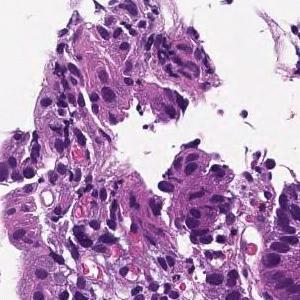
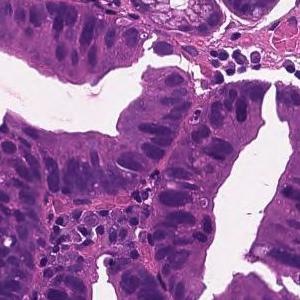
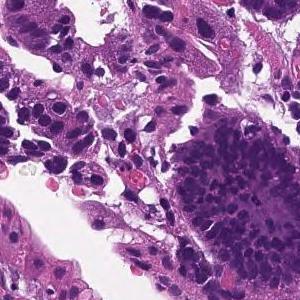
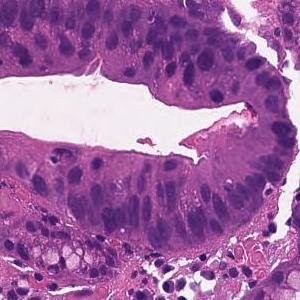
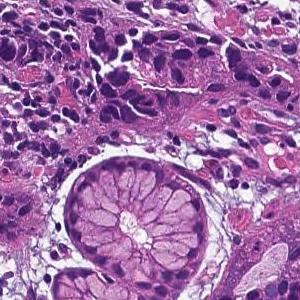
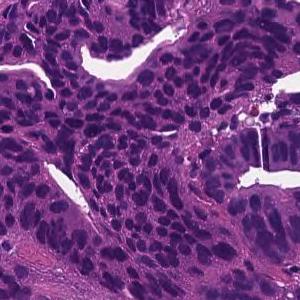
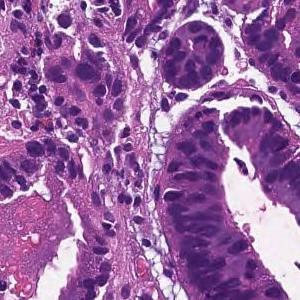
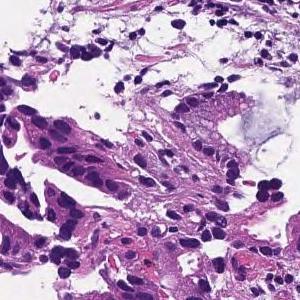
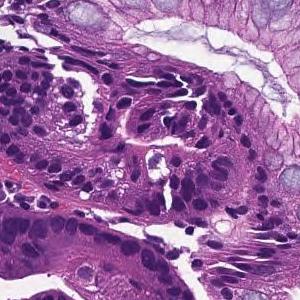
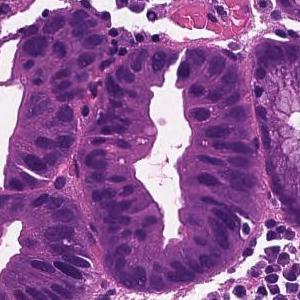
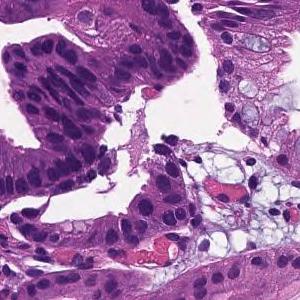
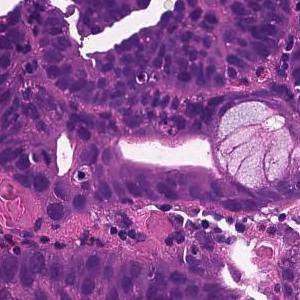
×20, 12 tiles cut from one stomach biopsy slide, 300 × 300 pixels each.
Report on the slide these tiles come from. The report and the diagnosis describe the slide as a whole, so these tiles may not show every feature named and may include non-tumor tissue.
From the superficial epithelium to the muscularis mucosae, tumor tissue consisting of medium-sized and irregular glandular ducts infiltrating is observed. Well differentiated tubular adenocarcinoma
